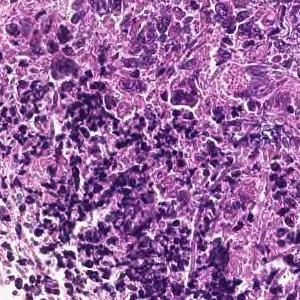
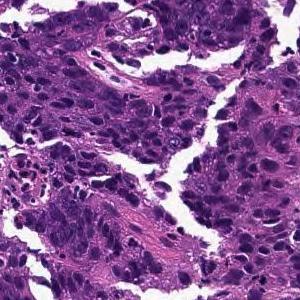
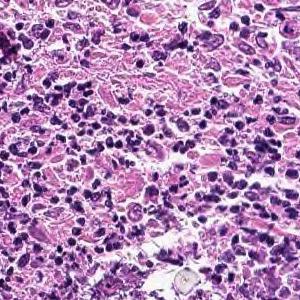
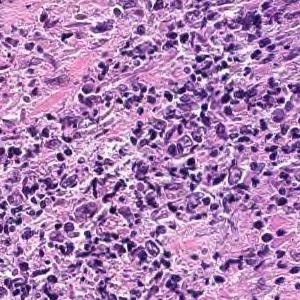
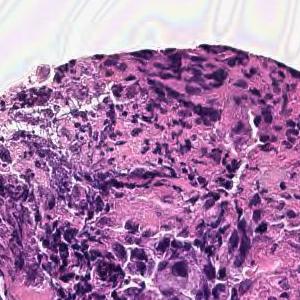
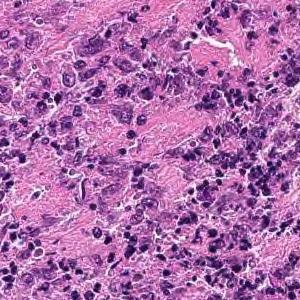
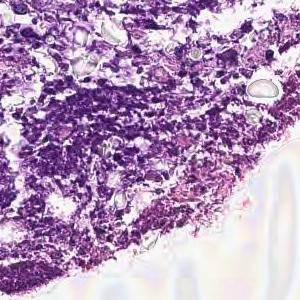
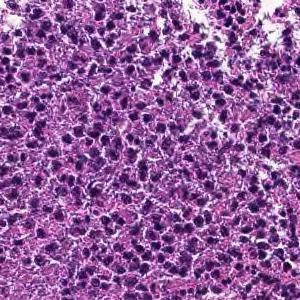
8 tiles cut from one stomach biopsy slide, H&E, ×20.
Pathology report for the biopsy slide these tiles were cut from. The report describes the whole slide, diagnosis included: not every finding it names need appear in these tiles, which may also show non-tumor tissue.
Cancers with polygonal nuclei do not show glandular formation and are densely, in part, cord-like and proliferate. Poorly differentiated adenocarcinoma
Histological subtype: Poorly differentiated adenocarcinoma, non-solid type.
The non-solid type named here is a Japanese Classification of Gastric Carcinoma category.
